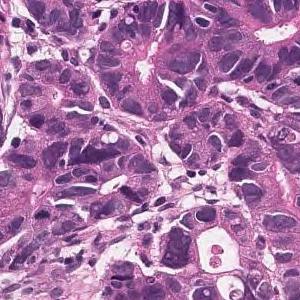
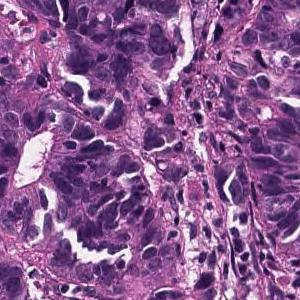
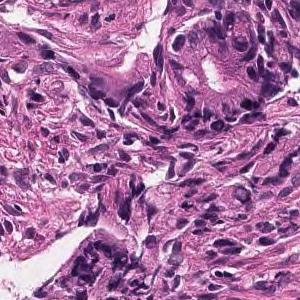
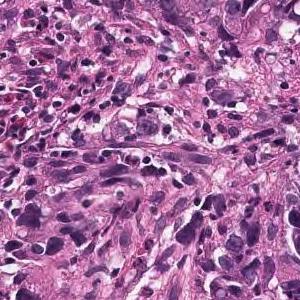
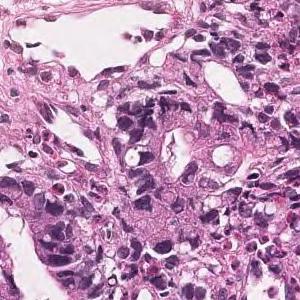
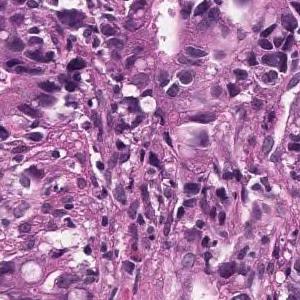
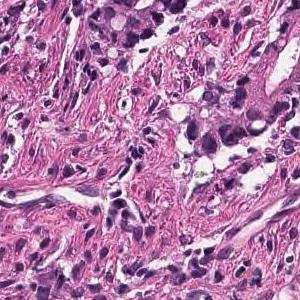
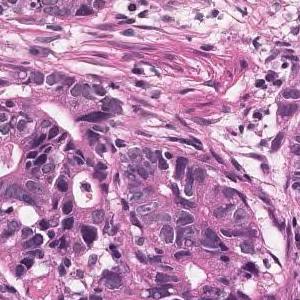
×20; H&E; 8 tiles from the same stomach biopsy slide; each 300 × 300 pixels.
Pathology report for the slide these tiles were cut from. The report and the diagnosis cover the entire slide, so not every feature they name need be visible here, and some tissue shown may not be tumor.
In the superficial epithelium, tumor tissue is found in which medium-sized irregular gland ducts fuse with each other and infiltrate. moderately differentiated tubular adenocarcinoma
